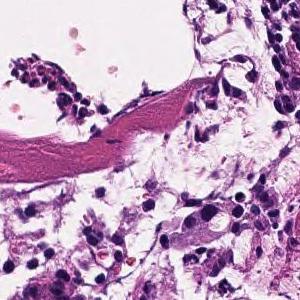
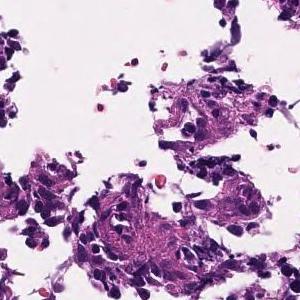
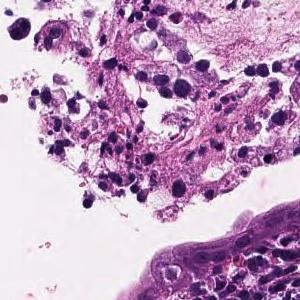
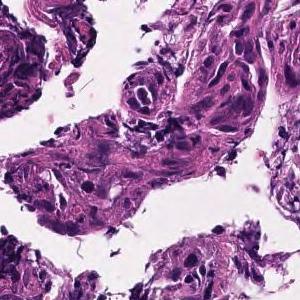
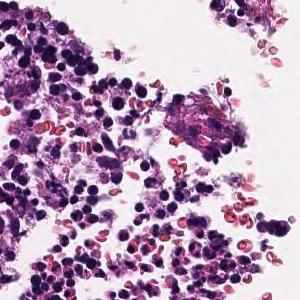
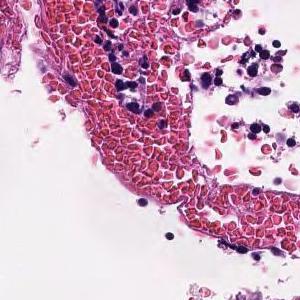
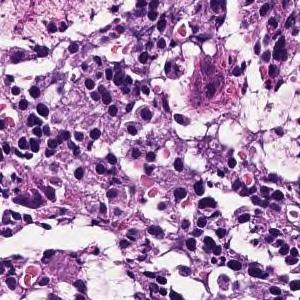
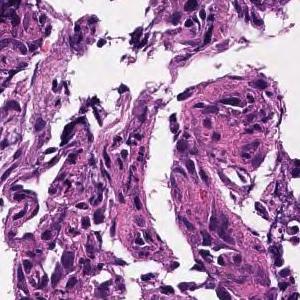
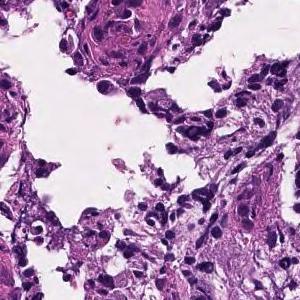
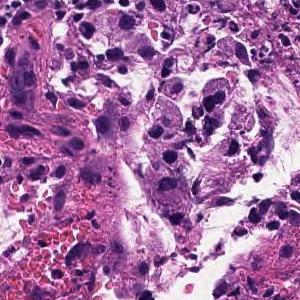
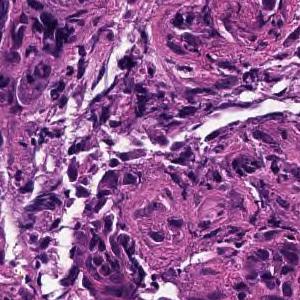
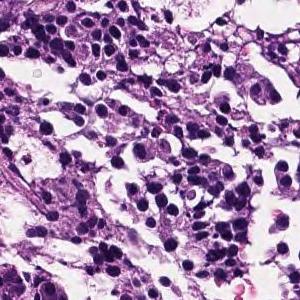
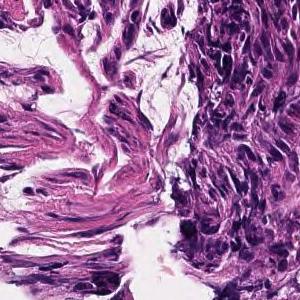
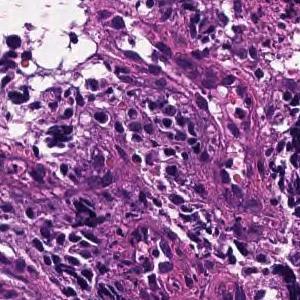
14 patches cut from one gastric biopsy slide, 300 × 300 pixels each, scanned at ×20, H&E stain.
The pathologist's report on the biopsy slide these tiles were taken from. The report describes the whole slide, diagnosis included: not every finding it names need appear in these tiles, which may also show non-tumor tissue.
The superficial epithelium shows a large sheet-like shape, and some tumor tissue infiltrates with small irregular ducts. Poorly differentiated adenocarcinoma, solid-type
Histologic type: Poorly differentiated adenocarcinoma, solid type. This name comes from the Japanese Classification of Gastric Carcinoma; the WHO 2019 classification calls it tubular adenocarcinoma, poorly differentiated.
